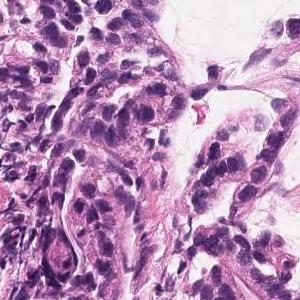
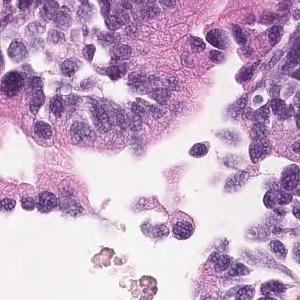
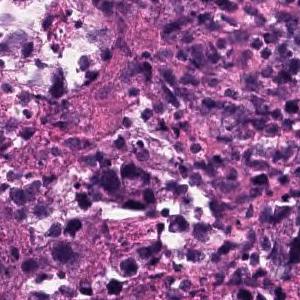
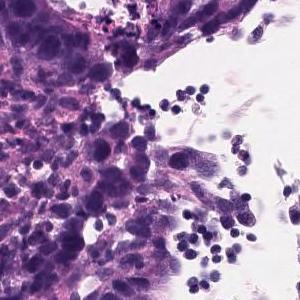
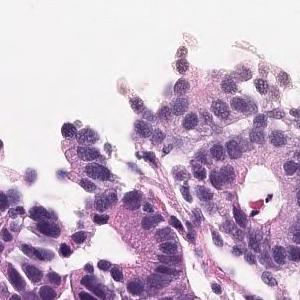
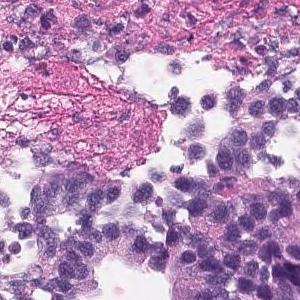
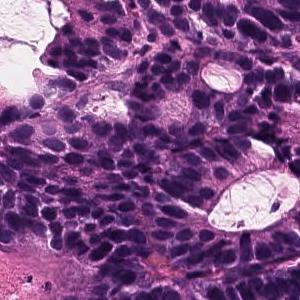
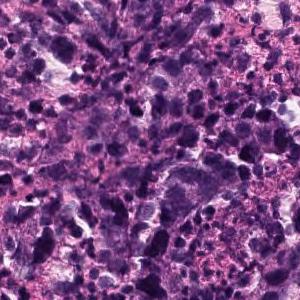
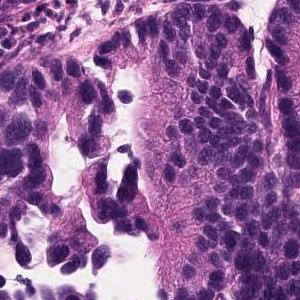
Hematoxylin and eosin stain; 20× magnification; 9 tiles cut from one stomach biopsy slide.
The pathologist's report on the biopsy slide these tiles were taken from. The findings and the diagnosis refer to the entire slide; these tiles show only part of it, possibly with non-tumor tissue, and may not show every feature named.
In the superficial epithelium, tumor tissue that invades by forming medium-sized to small, irregular ducts is observed. moderately differentiated tubular adenocarcinoma.
